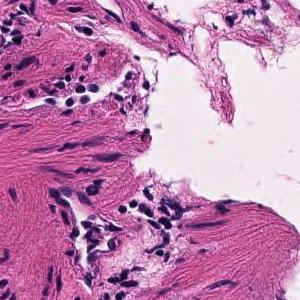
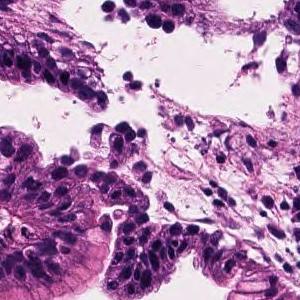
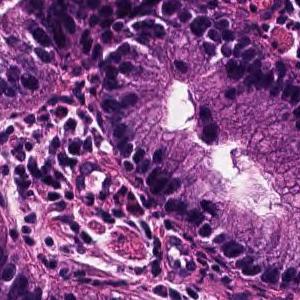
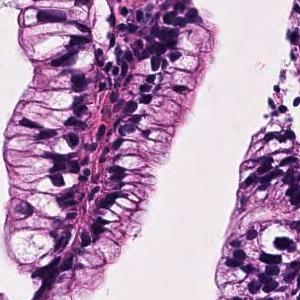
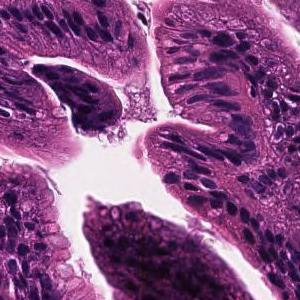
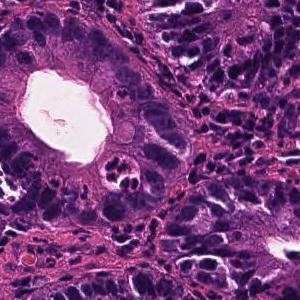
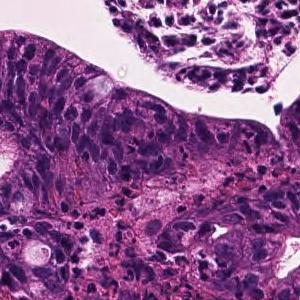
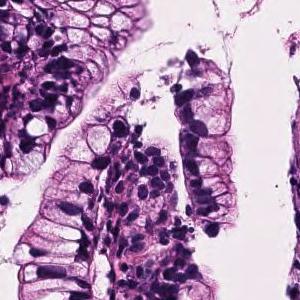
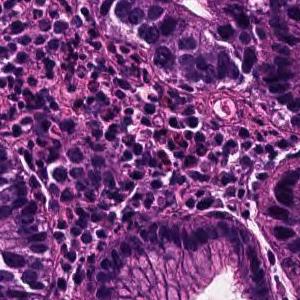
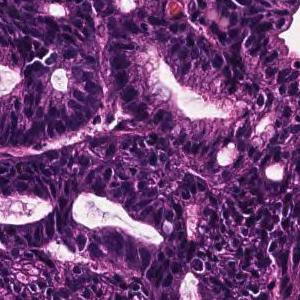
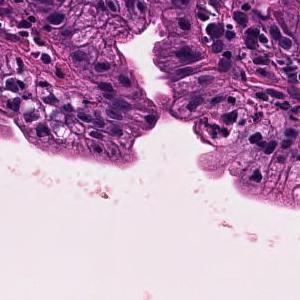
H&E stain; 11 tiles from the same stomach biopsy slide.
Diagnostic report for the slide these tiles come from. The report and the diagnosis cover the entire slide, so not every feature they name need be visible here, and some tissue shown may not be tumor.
Tumor cells are large, highly columnar, large club-shaped nuclei, and are associated with chromatin aggregation. Papillary adenocarcinoma.
